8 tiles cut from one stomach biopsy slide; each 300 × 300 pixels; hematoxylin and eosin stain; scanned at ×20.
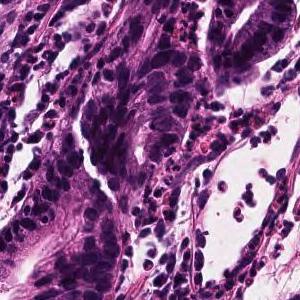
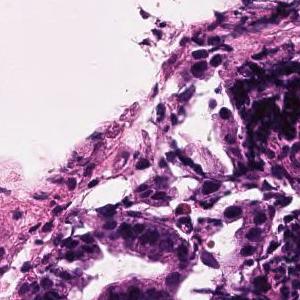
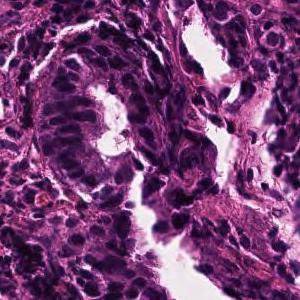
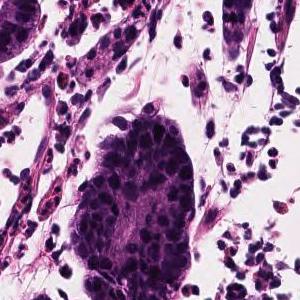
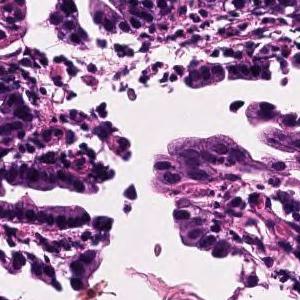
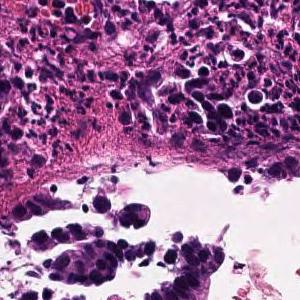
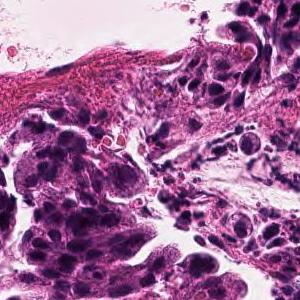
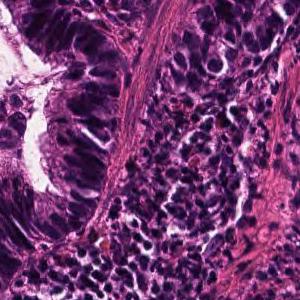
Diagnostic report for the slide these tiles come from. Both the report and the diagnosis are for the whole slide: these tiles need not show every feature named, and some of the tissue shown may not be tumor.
Tumor tissue consisting of large papillary structures is found in the superficial epithelium. Papillary adenocarcinoma.
